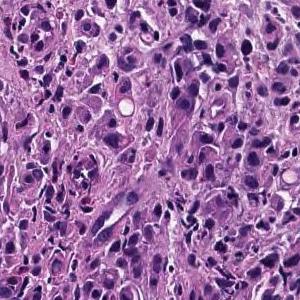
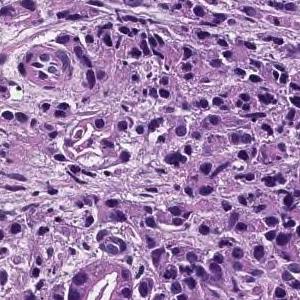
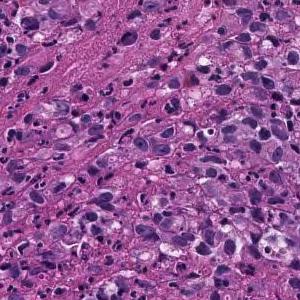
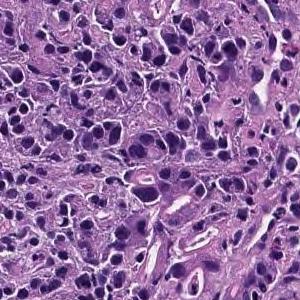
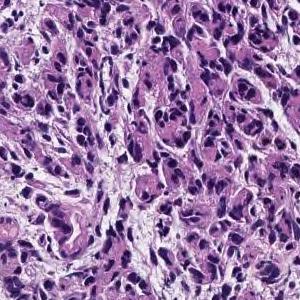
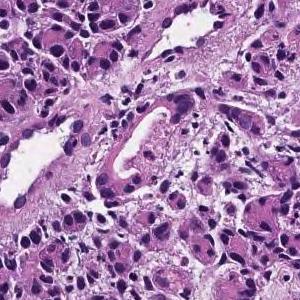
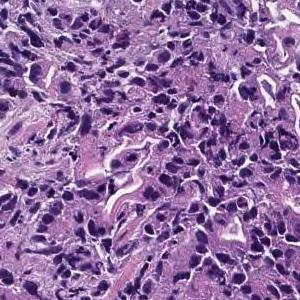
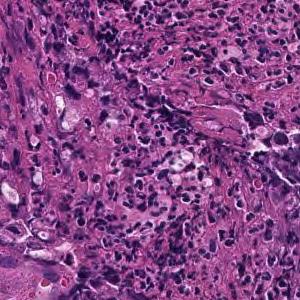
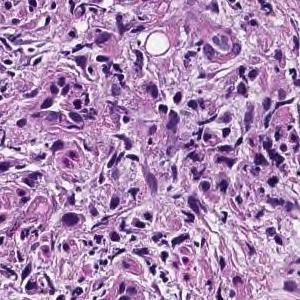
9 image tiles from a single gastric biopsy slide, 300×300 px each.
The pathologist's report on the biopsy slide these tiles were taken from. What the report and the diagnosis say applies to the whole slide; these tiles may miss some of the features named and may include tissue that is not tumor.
The superficial epithelium shows a large sheet-like shape, and some tumor tissue infiltrates with small irregular ducts. Poorly differentiated adenocarcinoma, solid-type
Histological subtype: Poorly differentiated adenocarcinoma, solid type (Japanese Classification of Gastric Carcinoma). The WHO 2019 equivalent is tubular adenocarcinoma, poorly differentiated.
